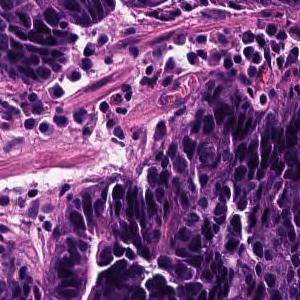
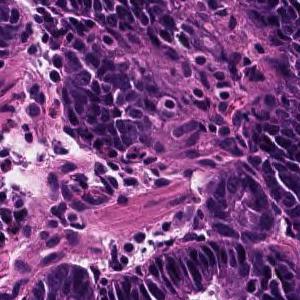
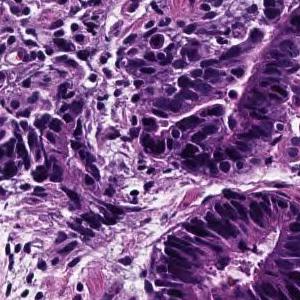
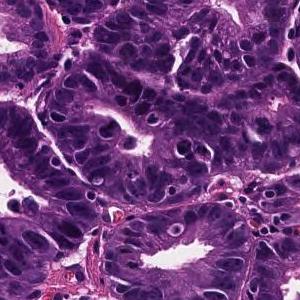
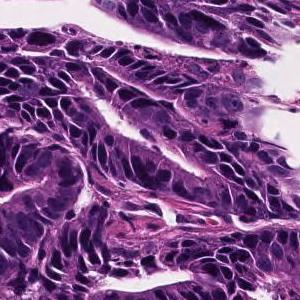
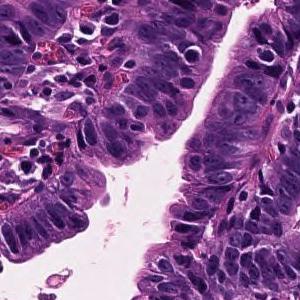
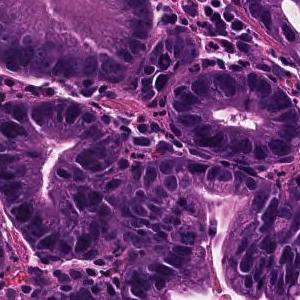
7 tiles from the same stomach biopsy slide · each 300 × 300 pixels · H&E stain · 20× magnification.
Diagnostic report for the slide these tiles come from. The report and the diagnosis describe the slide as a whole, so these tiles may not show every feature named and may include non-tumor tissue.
On the superficial epithelium, tumor tissue consisting of growth of medium-sized to large-sized, round or irregular glandular ducts is observed. Well differentiated tubular adenocarcinoma
